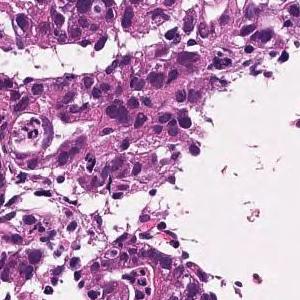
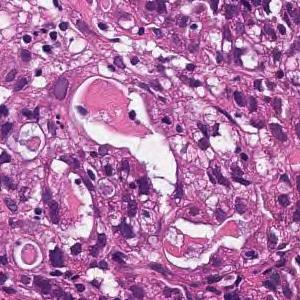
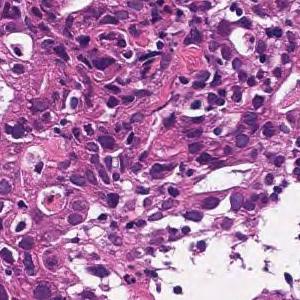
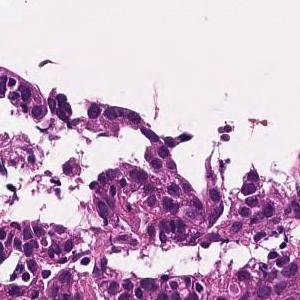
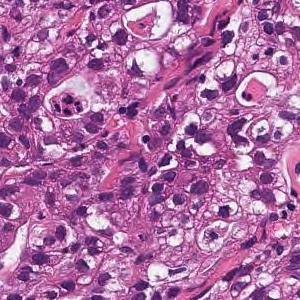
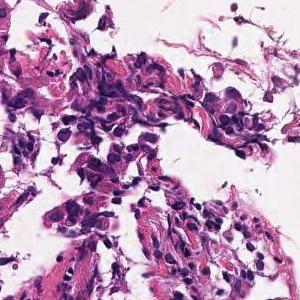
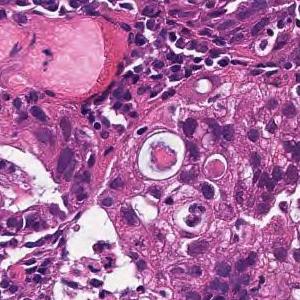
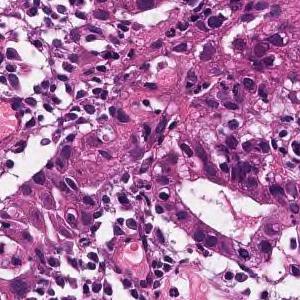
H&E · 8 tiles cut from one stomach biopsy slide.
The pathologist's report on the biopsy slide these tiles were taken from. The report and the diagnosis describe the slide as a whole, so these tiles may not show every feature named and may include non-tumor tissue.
Tumor tissue consisting of cord-like or small, irregular glandular ducts fused and infiltrated is observed in the superficial epithelium. Poorly differentiated adenocarcinoma, non-solid type
"Non-solid type" is a category of the Japanese Classification of Gastric Carcinoma.
